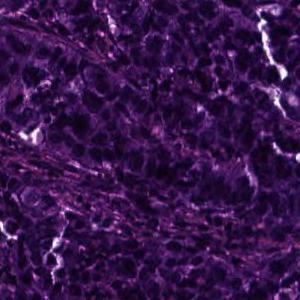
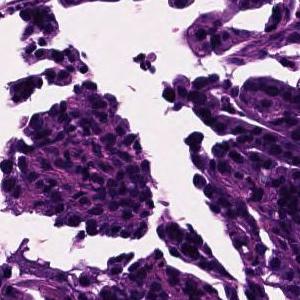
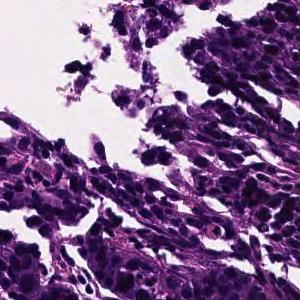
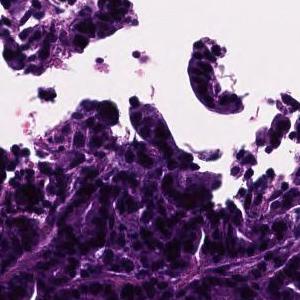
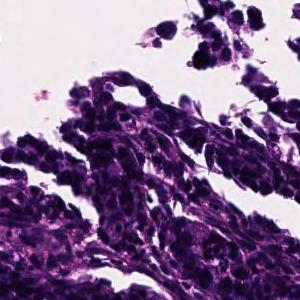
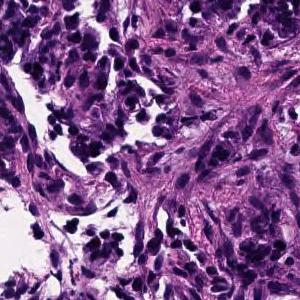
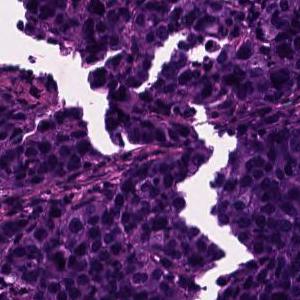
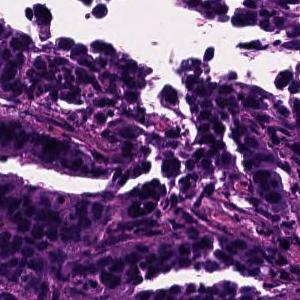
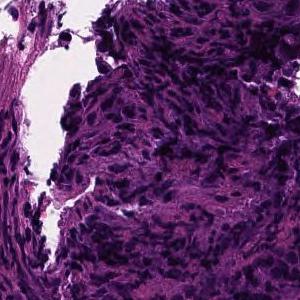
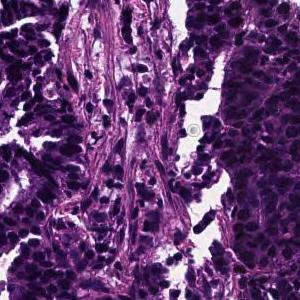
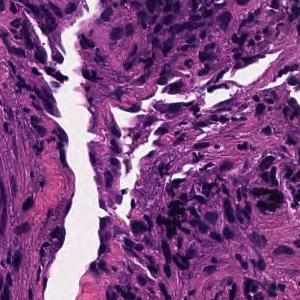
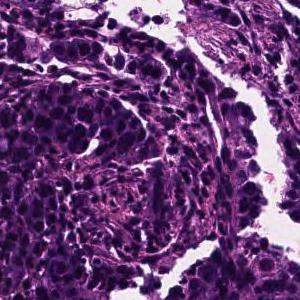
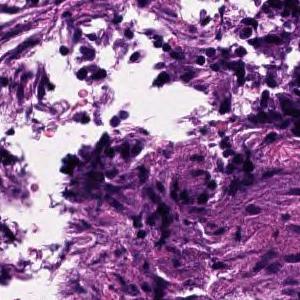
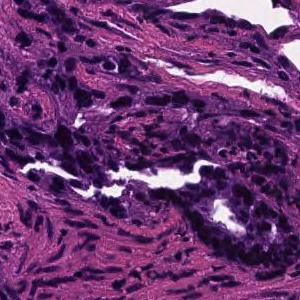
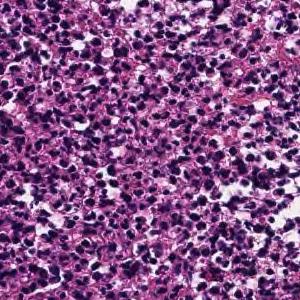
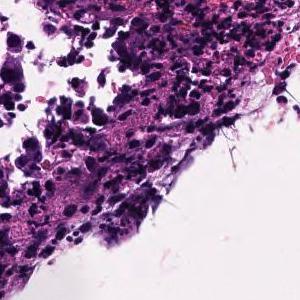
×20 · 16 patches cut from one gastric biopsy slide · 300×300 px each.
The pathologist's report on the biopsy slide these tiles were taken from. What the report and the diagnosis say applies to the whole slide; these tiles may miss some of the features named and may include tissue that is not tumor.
In the superficial epithelium, tumor tissue that invades by forming medium-sized to small, irregular ducts is observed. moderately differentiated tubular adenocarcinoma.
